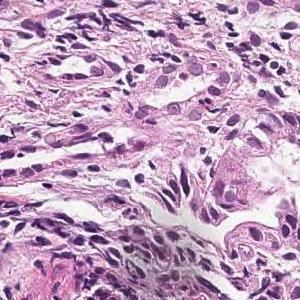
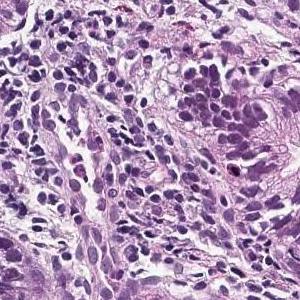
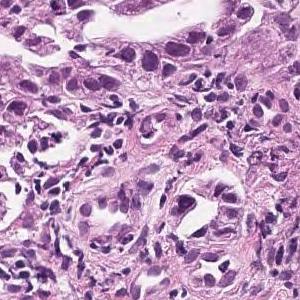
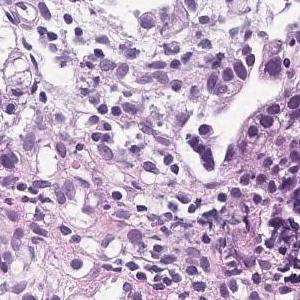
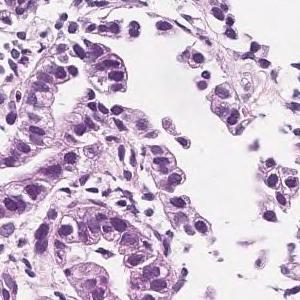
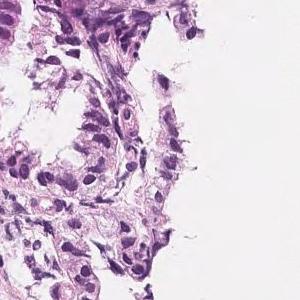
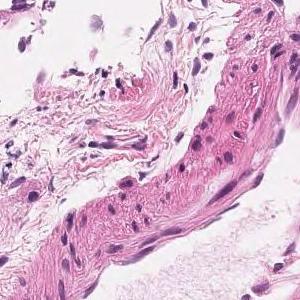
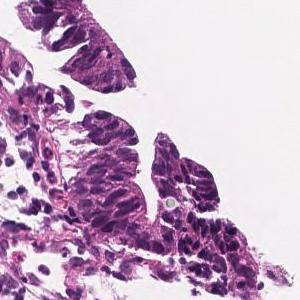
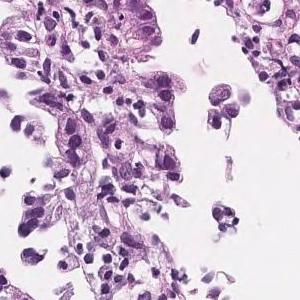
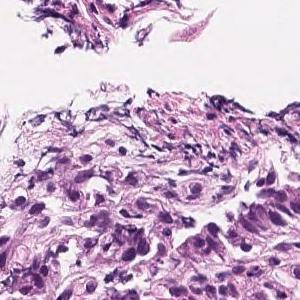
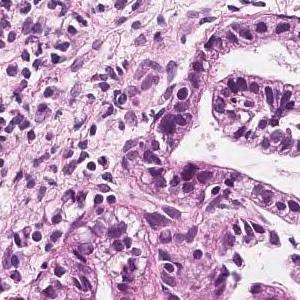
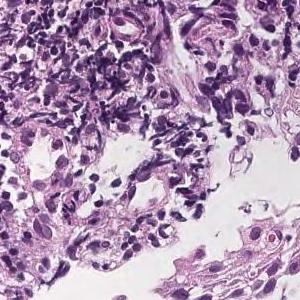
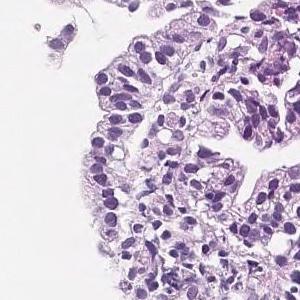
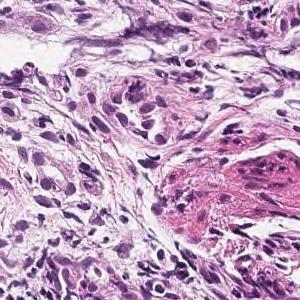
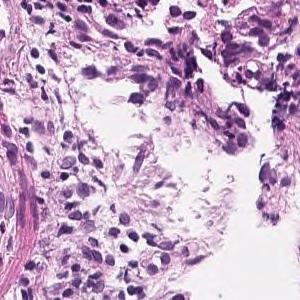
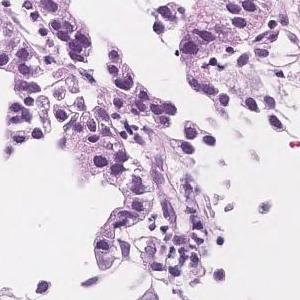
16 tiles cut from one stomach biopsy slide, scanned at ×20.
The pathologist's report on the biopsy slide these tiles were taken from. Both the report and the diagnosis are for the whole slide: these tiles need not show every feature named, and some of the tissue shown may not be tumor.
In the superficial epithelium, tumor tissue that invades by forming medium-sized to small, irregular ducts is observed. moderately differentiated tubular adenocarcinoma.
